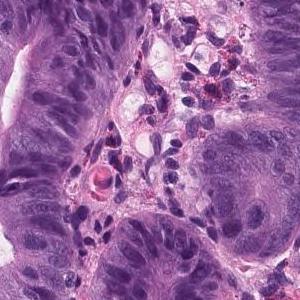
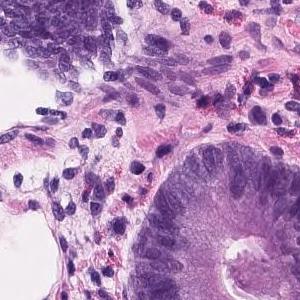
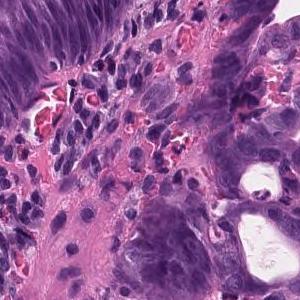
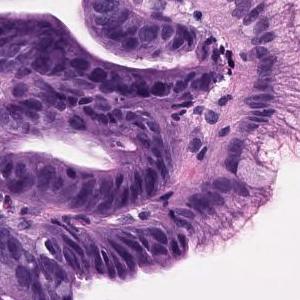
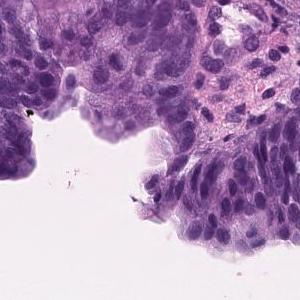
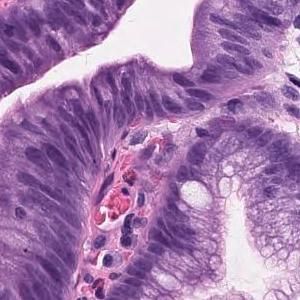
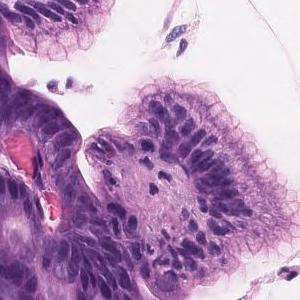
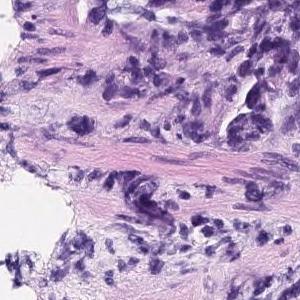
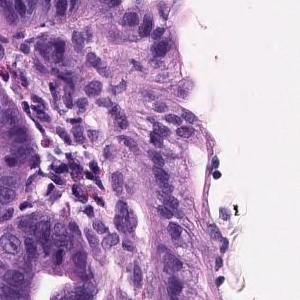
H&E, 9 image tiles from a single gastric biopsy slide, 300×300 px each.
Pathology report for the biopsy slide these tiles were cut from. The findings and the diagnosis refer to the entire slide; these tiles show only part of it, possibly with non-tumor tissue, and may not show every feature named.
On the superficial epithelium, tumor tissue with densely growing medium to large, round tubules is observed. Tumor cells are highly columnar, with nuclei aligned basolaterally and polarized. Well differentiated tubular adenocarcinoma
